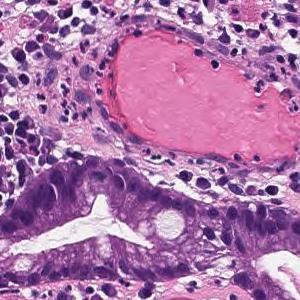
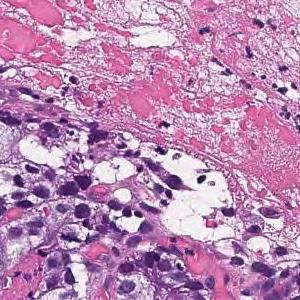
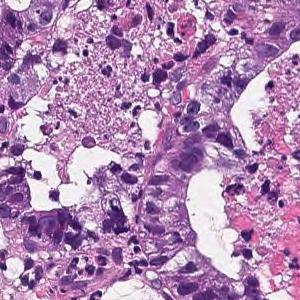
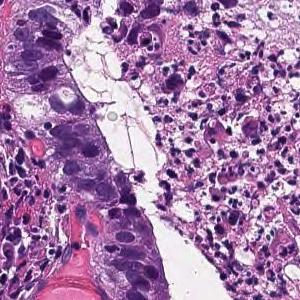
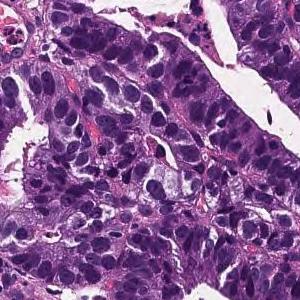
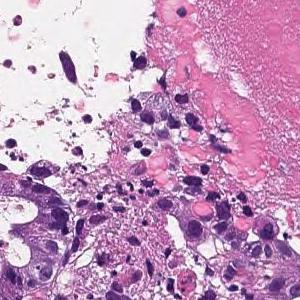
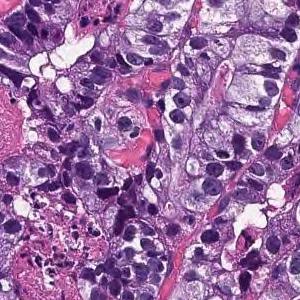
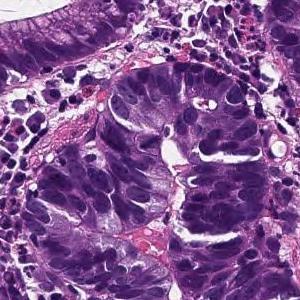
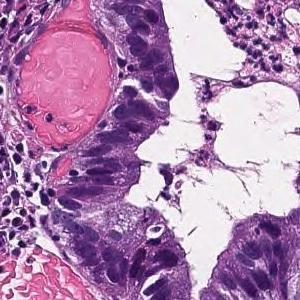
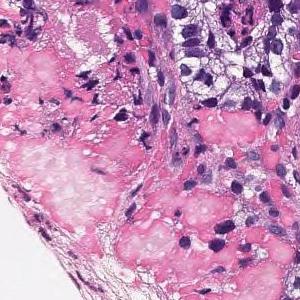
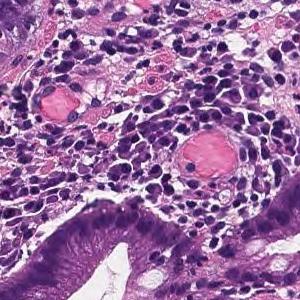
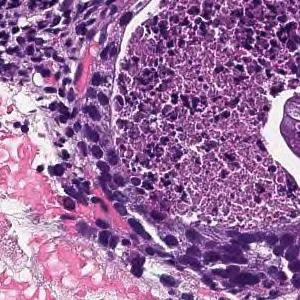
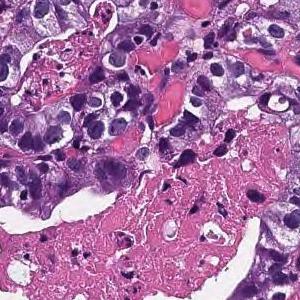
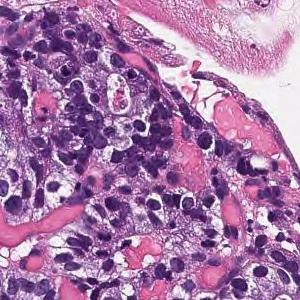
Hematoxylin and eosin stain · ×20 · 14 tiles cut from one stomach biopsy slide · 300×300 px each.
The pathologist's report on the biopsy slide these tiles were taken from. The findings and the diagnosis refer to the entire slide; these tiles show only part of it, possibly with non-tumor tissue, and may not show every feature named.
From the superficial epithelium to the muscularis mucosae, tumor tissue consisting of medium-sized and irregular glandular ducts infiltrating is observed. Well differentiated tubular adenocarcinoma
